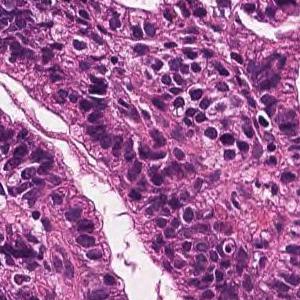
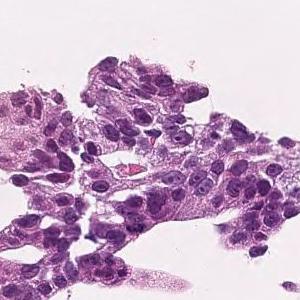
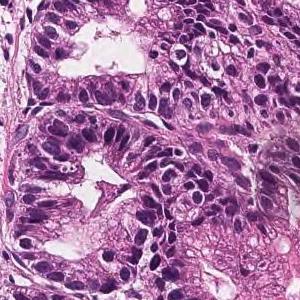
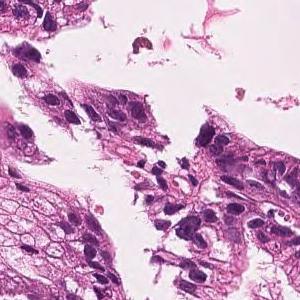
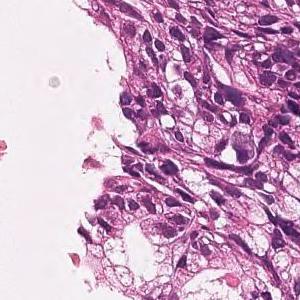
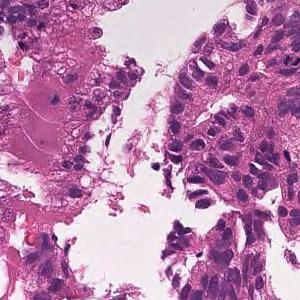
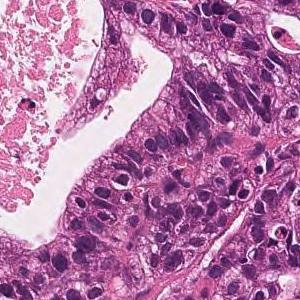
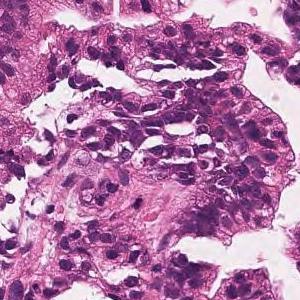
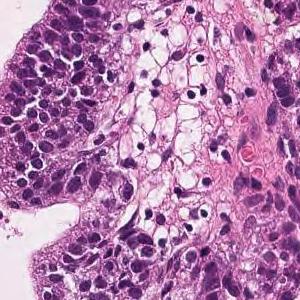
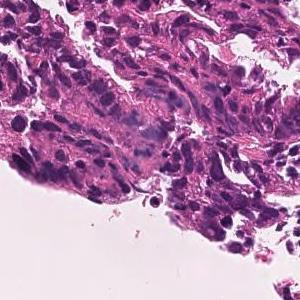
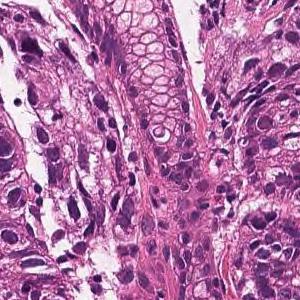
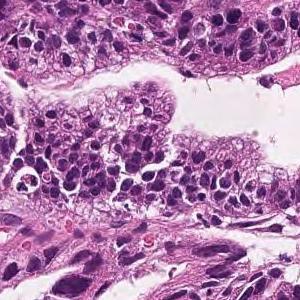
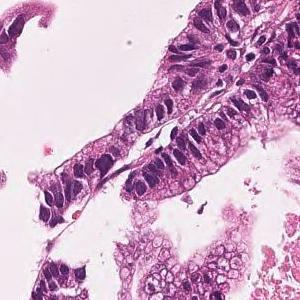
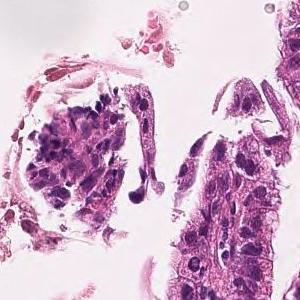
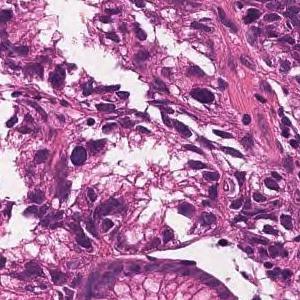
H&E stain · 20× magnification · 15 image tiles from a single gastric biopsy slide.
The pathologist's report on the biopsy slide these tiles were taken from. The report and the diagnosis describe the slide as a whole, so these tiles may not show every feature named and may include non-tumor tissue.
On the superficial epithelium, tumor tissue consisting of large, irregular glandular ducts partially fused and infiltrated is observed. Well to moderately differentiated tubular adenocarcinoma (well differentiated tubular adenocarcinoma, moderately differentiated tubular adenocarcinoma)
Histological subtype: Well to moderately differentiated tubular adenocarcinoma.
